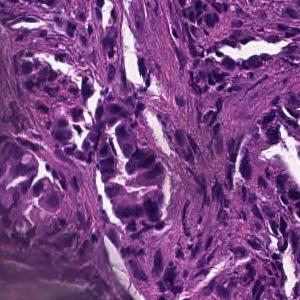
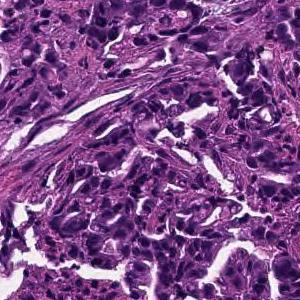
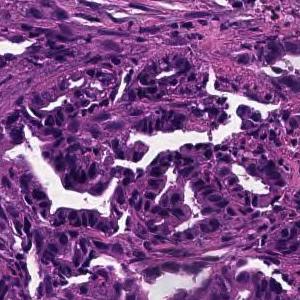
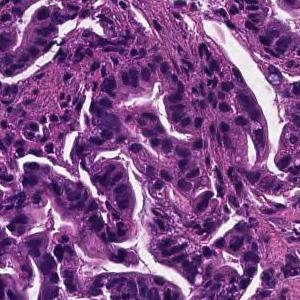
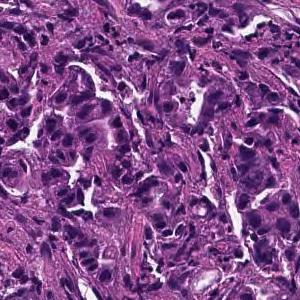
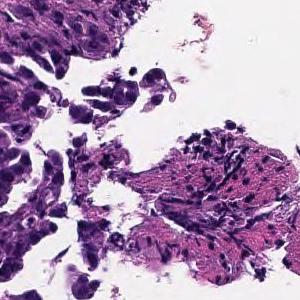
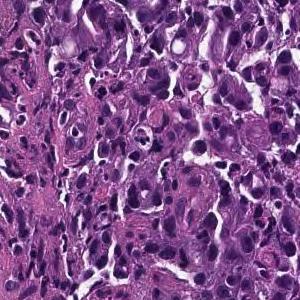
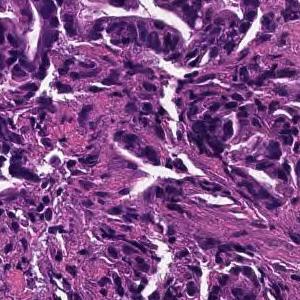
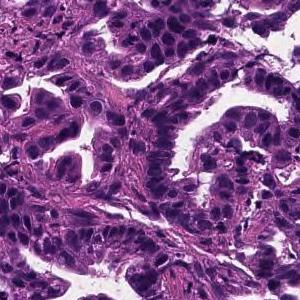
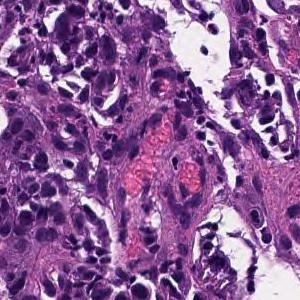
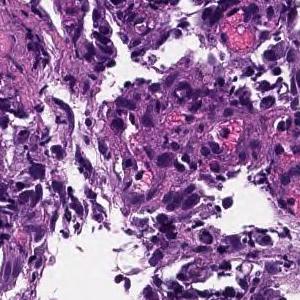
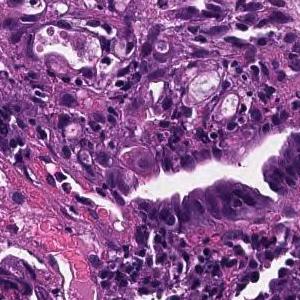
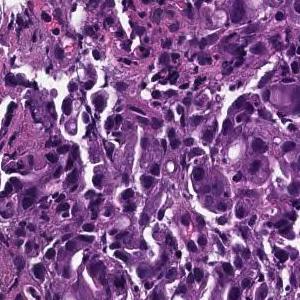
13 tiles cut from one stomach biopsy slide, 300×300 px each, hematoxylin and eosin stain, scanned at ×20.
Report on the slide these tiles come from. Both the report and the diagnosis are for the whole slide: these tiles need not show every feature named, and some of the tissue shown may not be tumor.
Tumor tissue consisting of medium-sized, cord-like or irregular glandular infiltration is observed in the superficial epithelium. Poorly differentiated adenocarcinoma, non-solid type or moderately differentiated tubular adenocarcinoma
Subtype: Moderately to poorly differentiated adenocarcinoma.
The term "non-solid type" comes from the Japanese Classification of Gastric Carcinoma.
